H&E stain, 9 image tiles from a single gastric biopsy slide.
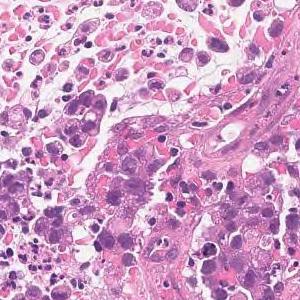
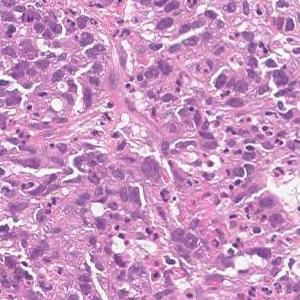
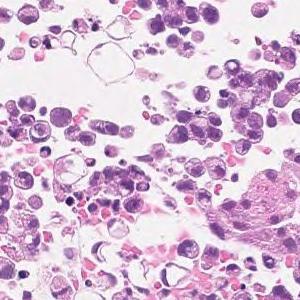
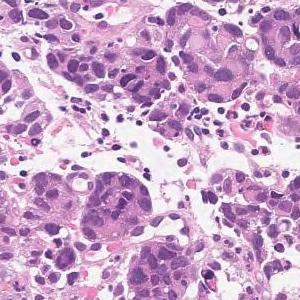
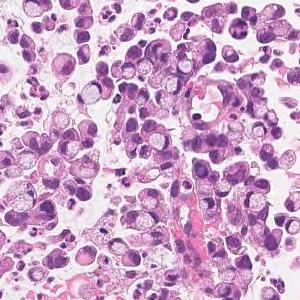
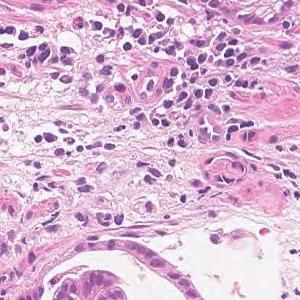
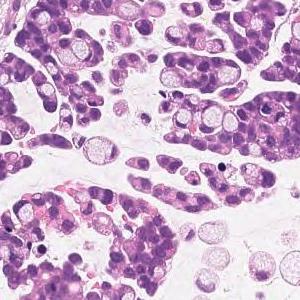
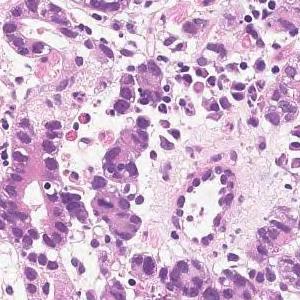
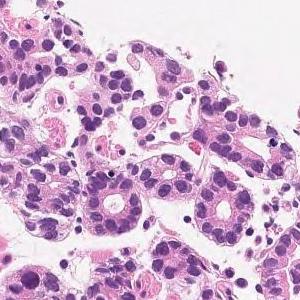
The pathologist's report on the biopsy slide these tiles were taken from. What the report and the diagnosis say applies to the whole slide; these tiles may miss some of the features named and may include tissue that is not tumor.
Medium to small, irregular glandular ducts are formed in the superficial epithelium, and in some cases, the glandular ducts are fused to show solid alveolar lesions and infiltrating tumor tissue is observed. Moderately to poorly differentiated adenocarcinoma.
